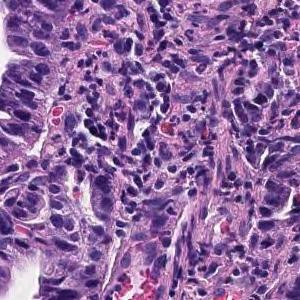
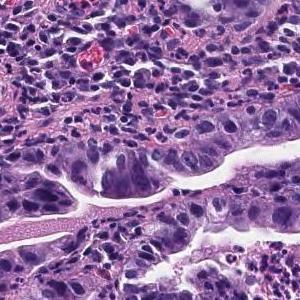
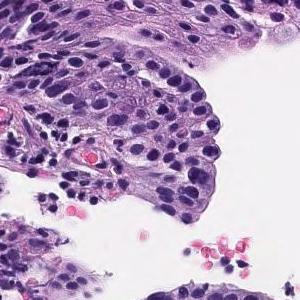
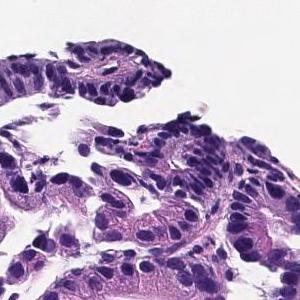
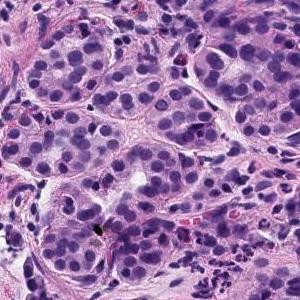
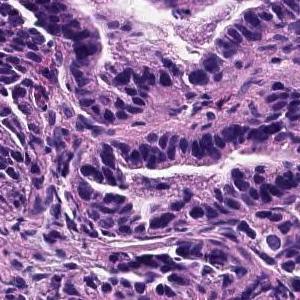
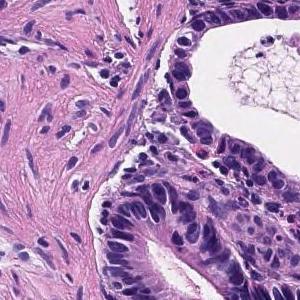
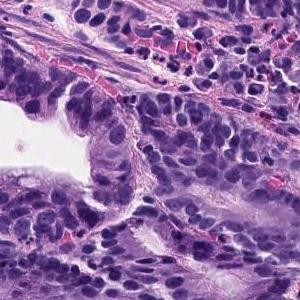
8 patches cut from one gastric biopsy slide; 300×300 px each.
Pathology report for the biopsy slide these tiles were cut from. What the report and the diagnosis say applies to the whole slide; these tiles may miss some of the features named and may include tissue that is not tumor.
The superficial tumors shows large papillary structures or large and small ducts and infiltrates. Papillary adenocarcinoma.
